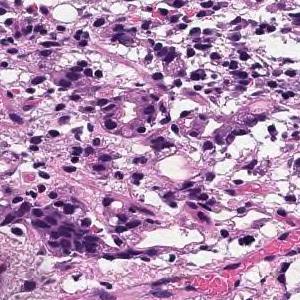
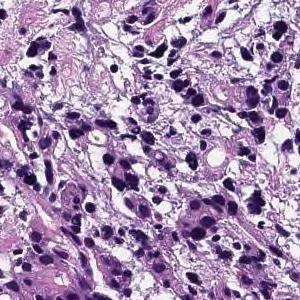
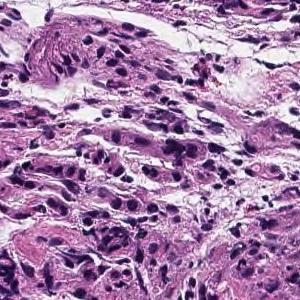
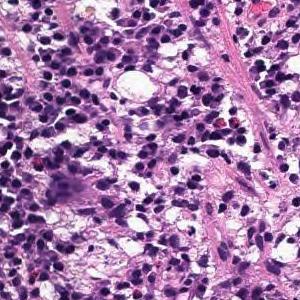
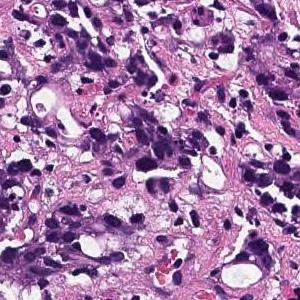
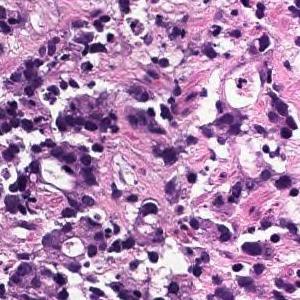
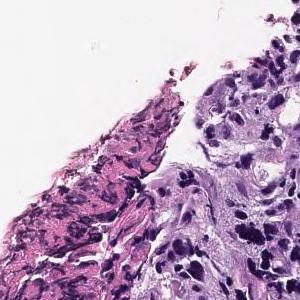
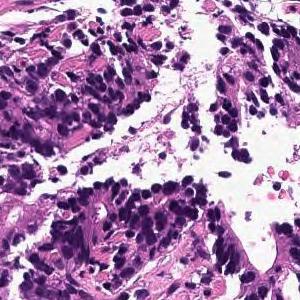
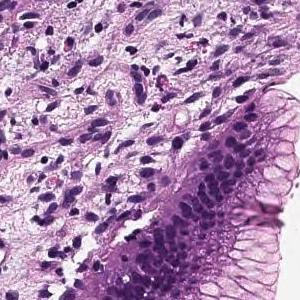
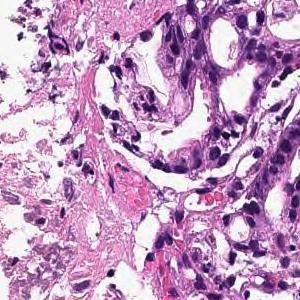
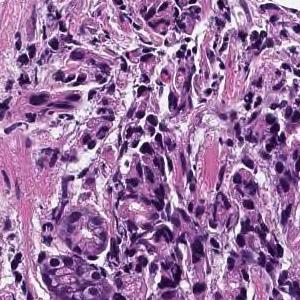
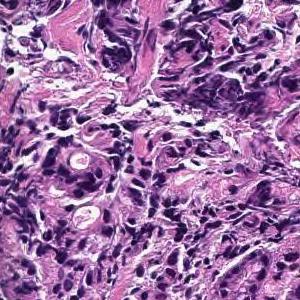
20× magnification, H&E stain, 12 patches cut from one gastric biopsy slide, 300×300 px each.
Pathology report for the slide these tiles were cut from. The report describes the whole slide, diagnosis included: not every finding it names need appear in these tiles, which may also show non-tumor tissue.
Tumor tissue consisting of cord-like or small, irregular glandular ducts fused and infiltrated is observed in the superficial epithelium. Poorly differentiated adenocarcinoma, non-solid type
"Non-solid type" is a category of the Japanese Classification of Gastric Carcinoma.
